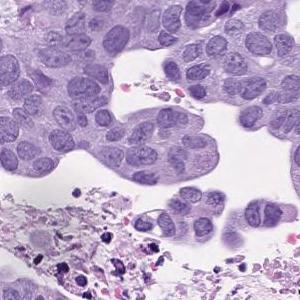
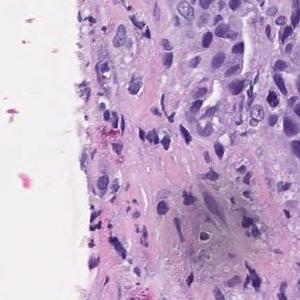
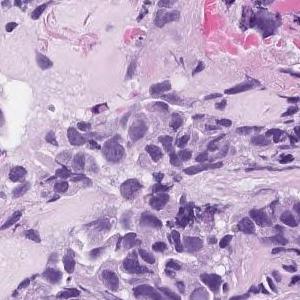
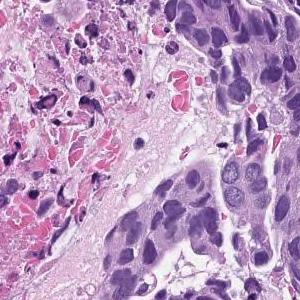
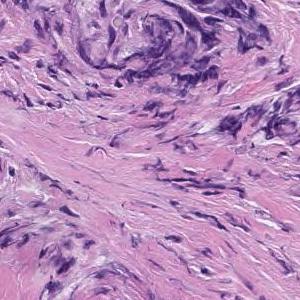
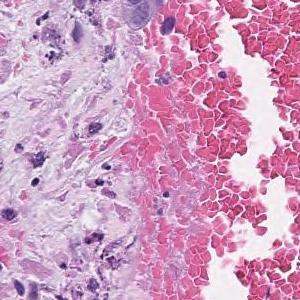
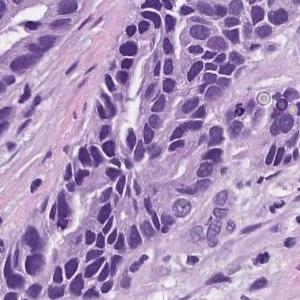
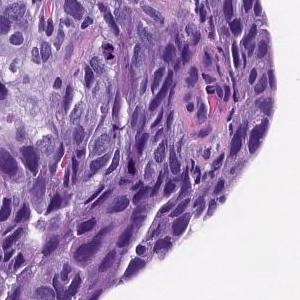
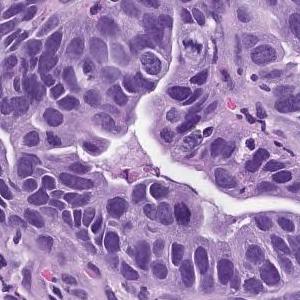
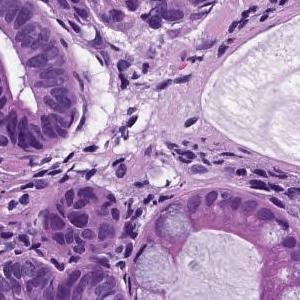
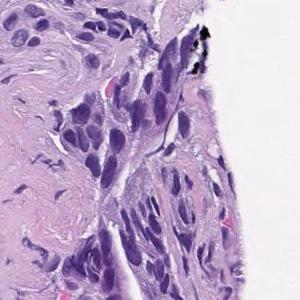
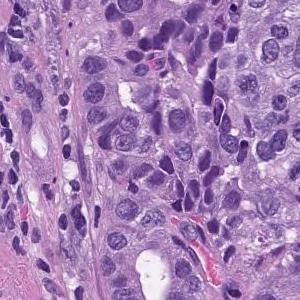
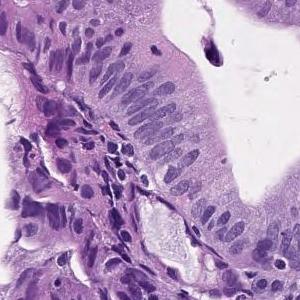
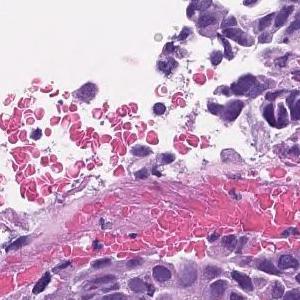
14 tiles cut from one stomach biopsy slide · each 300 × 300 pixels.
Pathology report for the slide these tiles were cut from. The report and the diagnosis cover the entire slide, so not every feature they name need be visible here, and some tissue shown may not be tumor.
In the superficial epithelium, tumor tissue that invades by forming medium-sized to small, irregular ducts is observed. moderately differentiated tubular adenocarcinoma.
